7 tiles cut from one stomach biopsy slide; 300 × 300 pixels each; ×20; H&E stain.
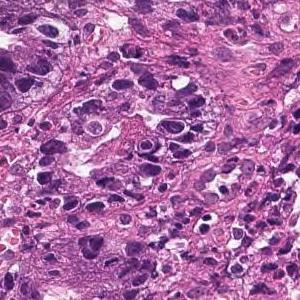
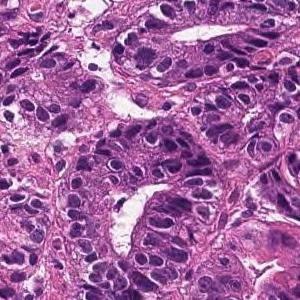
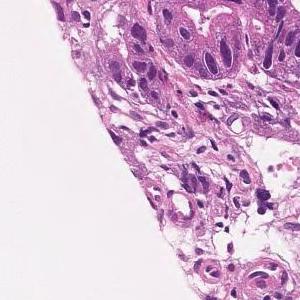
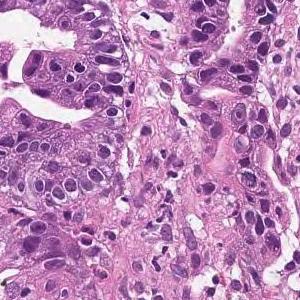
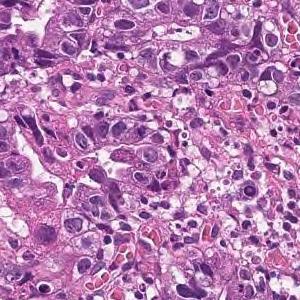
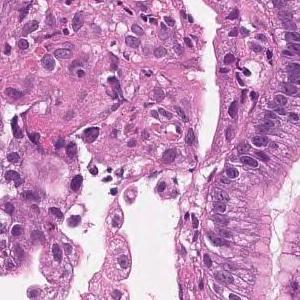
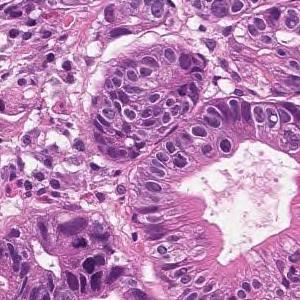
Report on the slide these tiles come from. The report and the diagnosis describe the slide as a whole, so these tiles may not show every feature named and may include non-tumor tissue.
In the superficial epithelium, tumor tissue that invades by forming medium-sized to small, irregular ducts is observed. Well differentiated tubular adenocarcinoma.
